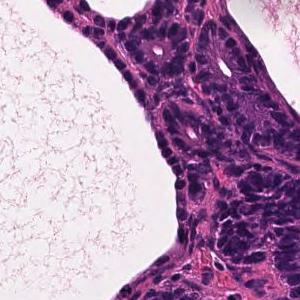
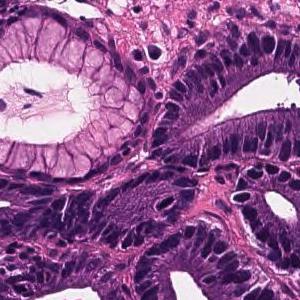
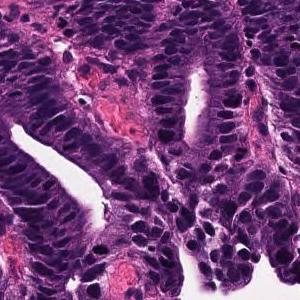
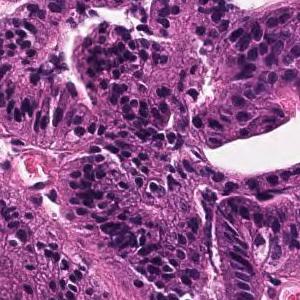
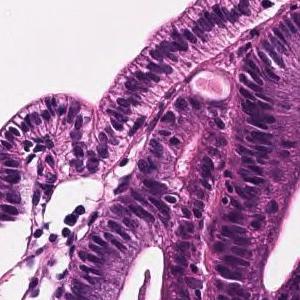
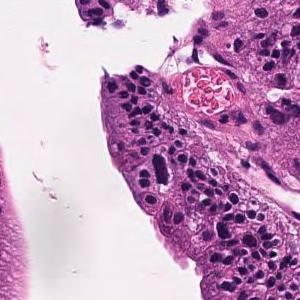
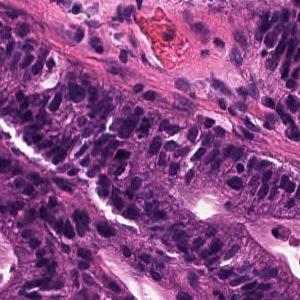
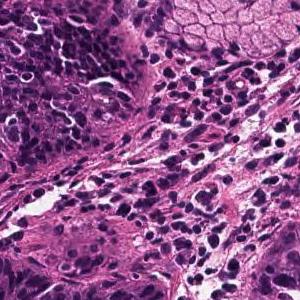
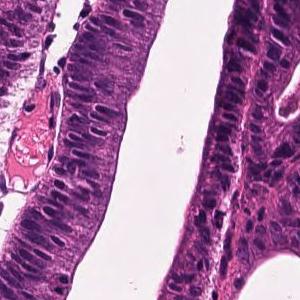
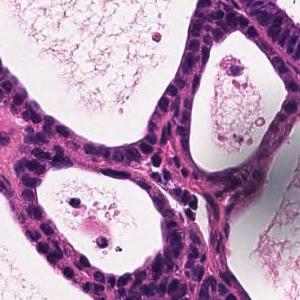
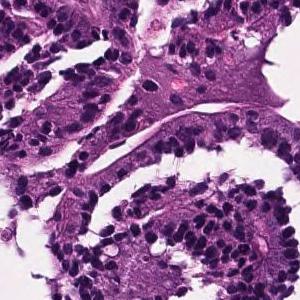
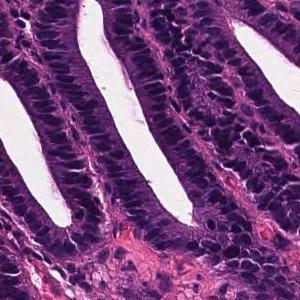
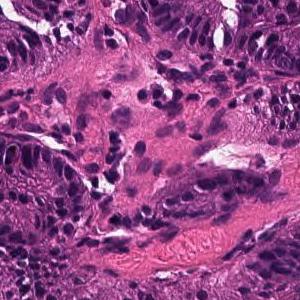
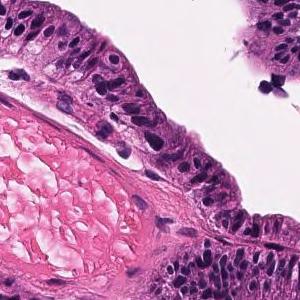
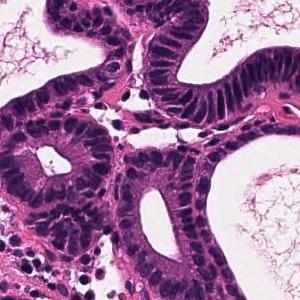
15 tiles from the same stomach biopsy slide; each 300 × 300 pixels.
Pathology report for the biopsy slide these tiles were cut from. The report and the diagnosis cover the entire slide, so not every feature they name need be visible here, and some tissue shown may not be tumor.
Tumor tissue that remains within the superficial epithelium and is infiltrated by large papillary or irregular ducts that fuse with each other is observed. Well differentiated tubular adenocarcinoma
